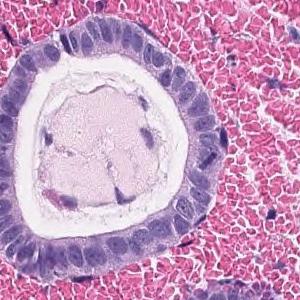
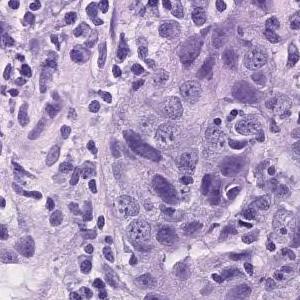
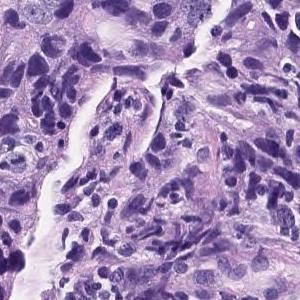
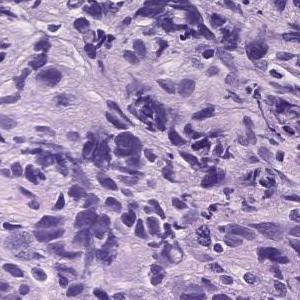
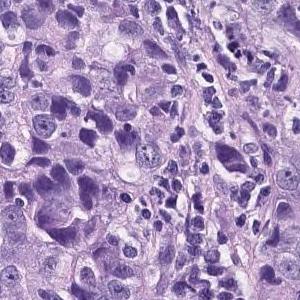
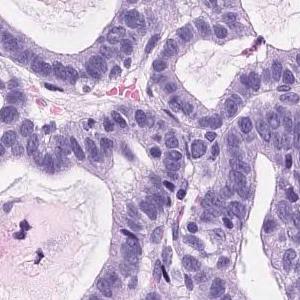
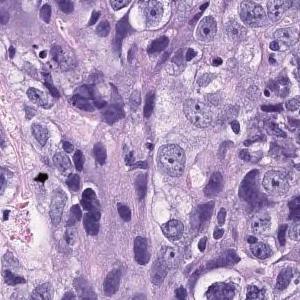
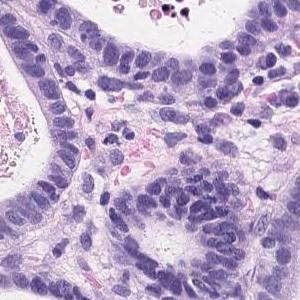
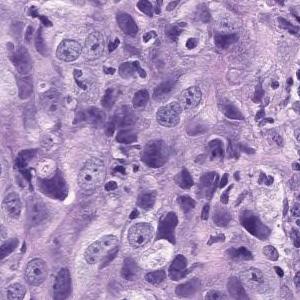
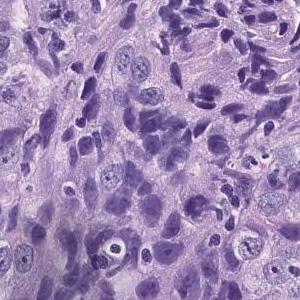
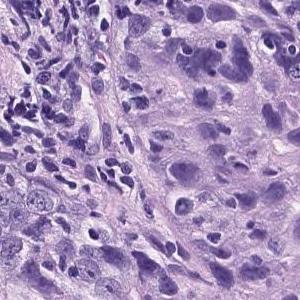
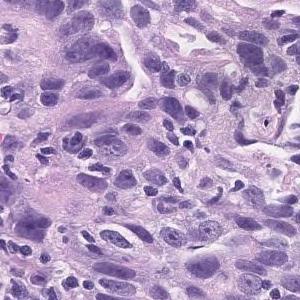
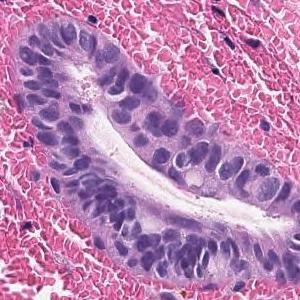
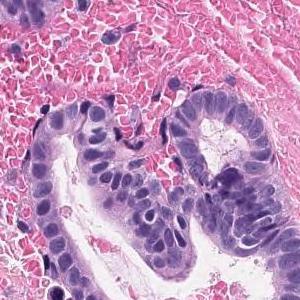
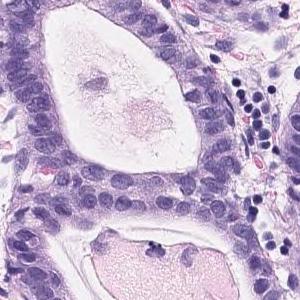
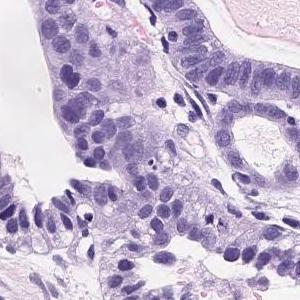
16 tiles cut from one stomach biopsy slide · ×20.
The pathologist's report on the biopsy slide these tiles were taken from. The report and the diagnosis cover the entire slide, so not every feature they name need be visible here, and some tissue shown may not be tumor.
The superficial epithelium shows a large sheet-like shape, and some tumor tissue infiltrates with small irregular ducts. Poorly differentiated adenocarcinoma, solid-type
Histologic type: Poorly differentiated adenocarcinoma, solid type (Japanese Classification of Gastric Carcinoma). The WHO 2019 equivalent is tubular adenocarcinoma, poorly differentiated.
